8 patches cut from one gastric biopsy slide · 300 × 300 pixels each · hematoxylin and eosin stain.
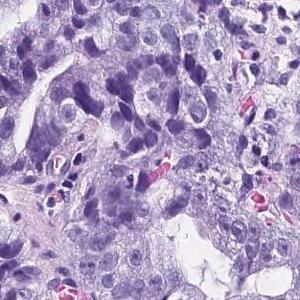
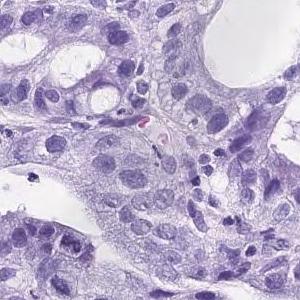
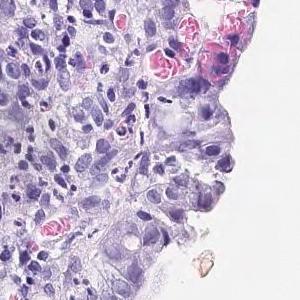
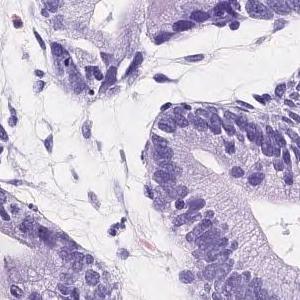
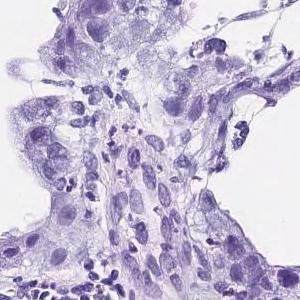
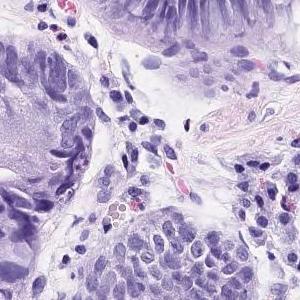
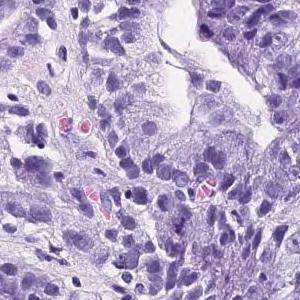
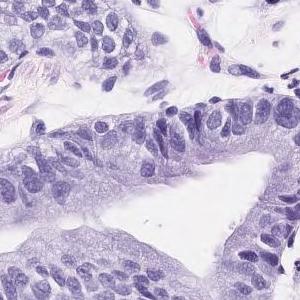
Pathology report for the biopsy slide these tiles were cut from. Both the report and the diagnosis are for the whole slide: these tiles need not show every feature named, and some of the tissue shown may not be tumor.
Tumor tissue consisting of medium-sized and irregular ducts is observed infiltrating in the superficial epithelium. Tumor cells are highly columnar, with nuclei aligned basolaterally and polarized. Well differentiated tubular adenocarcinoma.
